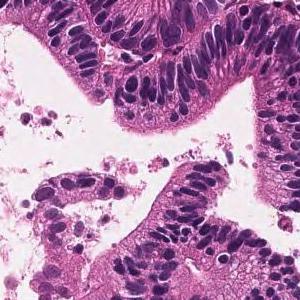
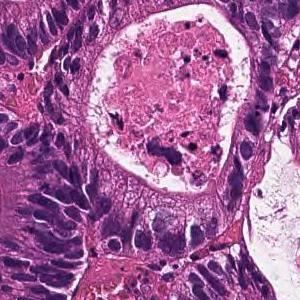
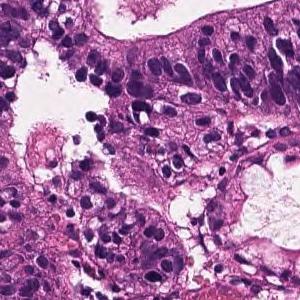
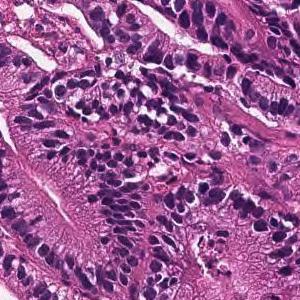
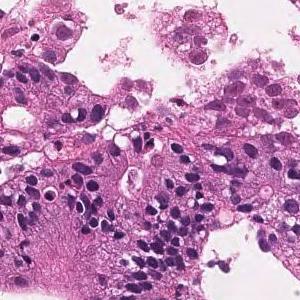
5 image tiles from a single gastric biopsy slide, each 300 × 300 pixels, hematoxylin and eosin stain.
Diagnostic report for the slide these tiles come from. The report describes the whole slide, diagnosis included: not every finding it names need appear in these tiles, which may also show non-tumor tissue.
From the superficial epithelium to the muscularis mucosae, tumor tissue infiltrating by forming medium-sized irregular gland ducts is observed. Large tumor cells exhibit large nucleus and hyperchromatism. Well differentiated tubular adenocarcinoma
